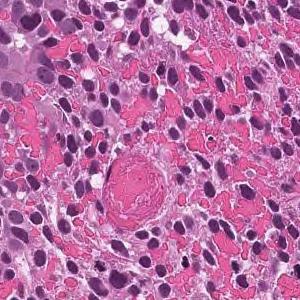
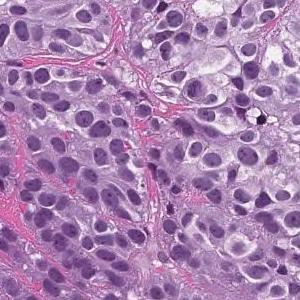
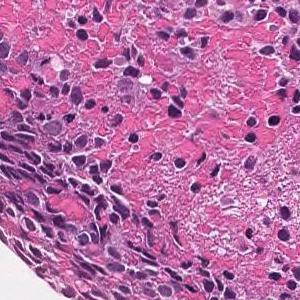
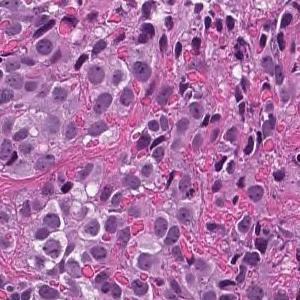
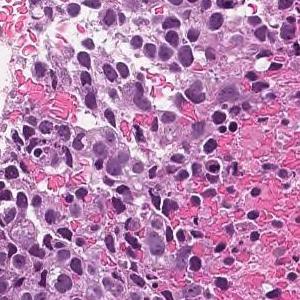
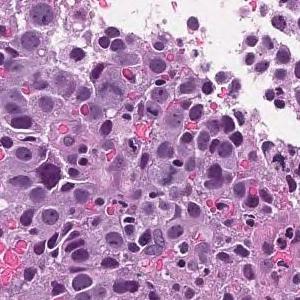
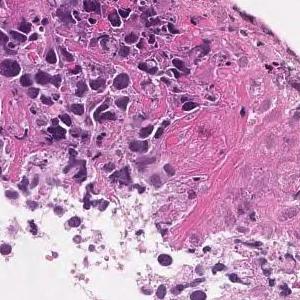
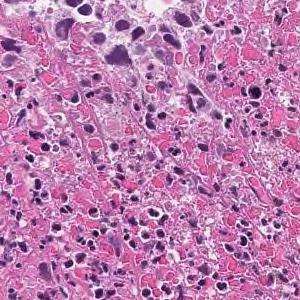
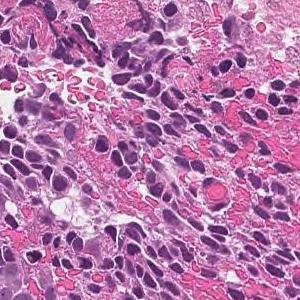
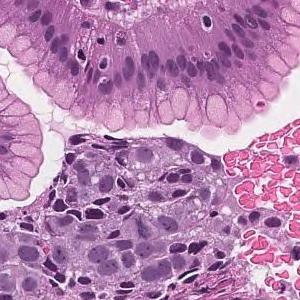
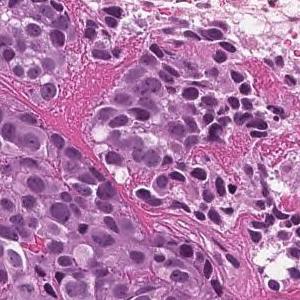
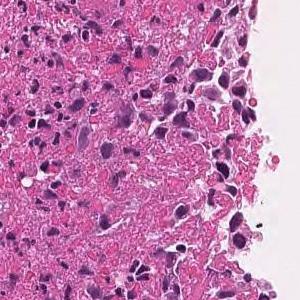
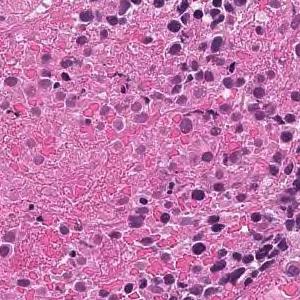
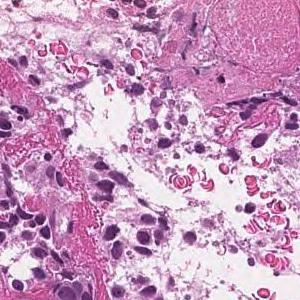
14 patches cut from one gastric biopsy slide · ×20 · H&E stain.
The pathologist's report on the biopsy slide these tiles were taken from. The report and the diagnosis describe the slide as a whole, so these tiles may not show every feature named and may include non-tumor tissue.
The superficial epithelium shows a large sheet-like shape, and some tumor tissue infiltrates with small irregular ducts. Poorly differentiated adenocarcinoma, solid-type
Histologic type: Poorly differentiated adenocarcinoma, solid type, a category of the Japanese Classification of Gastric Carcinoma; in the WHO 2019 classification it is tubular adenocarcinoma, poorly differentiated.
